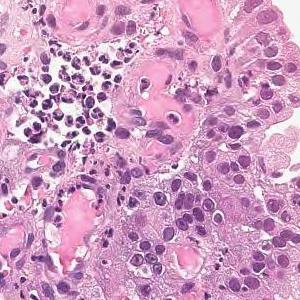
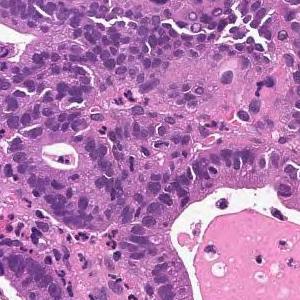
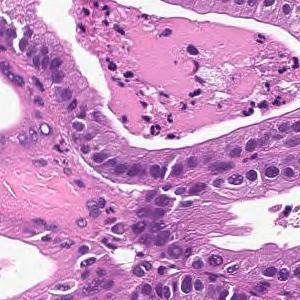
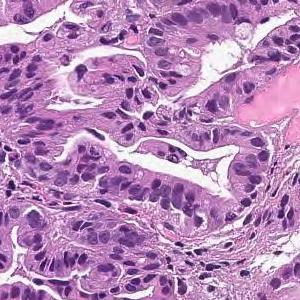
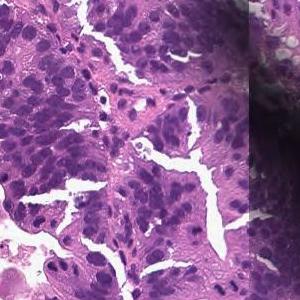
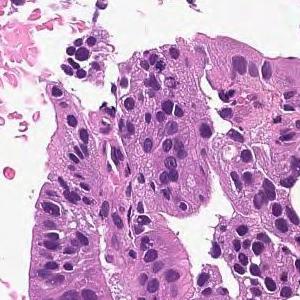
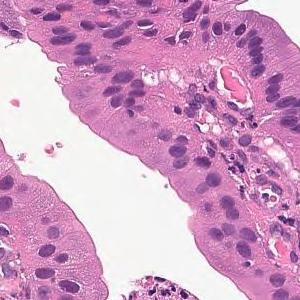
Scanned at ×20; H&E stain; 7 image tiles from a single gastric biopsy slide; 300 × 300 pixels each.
Pathology report for the biopsy slide these tiles were cut from. Both the report and the diagnosis are for the whole slide: these tiles need not show every feature named, and some of the tissue shown may not be tumor.
From the superficial epithelium to the muscularis mucosae, tumor tissue consisting of medium-sized and irregular glandular ducts infiltrating is observed. Well differentiated tubular adenocarcinoma
